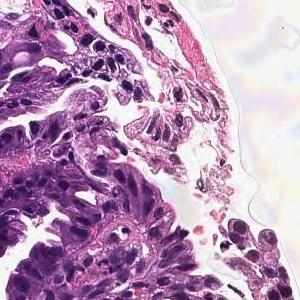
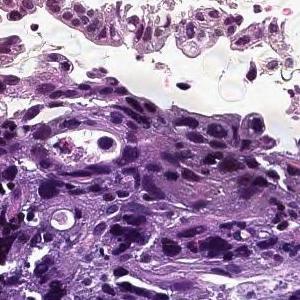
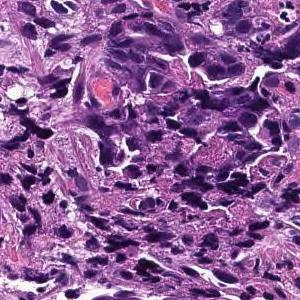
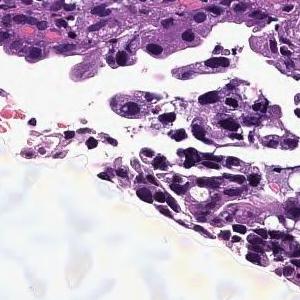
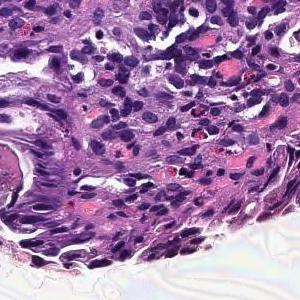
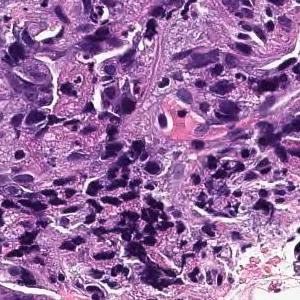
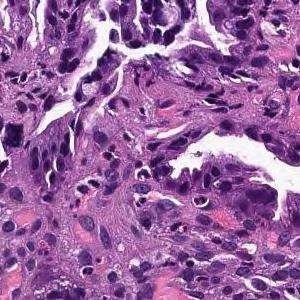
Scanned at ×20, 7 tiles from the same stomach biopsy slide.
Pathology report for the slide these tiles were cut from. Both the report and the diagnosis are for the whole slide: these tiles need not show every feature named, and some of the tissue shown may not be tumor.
The superficial epithelium shows small cord-like infiltrating tumor tissue. Tumor cells are invading single cell manner without mucin production. Poorly differentiated adenocarcinoma, non-solid type
The non-solid type named here is a Japanese Classification of Gastric Carcinoma category.
